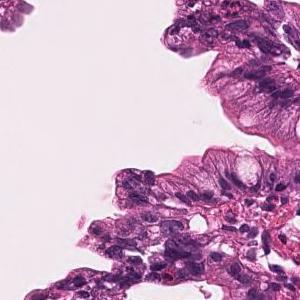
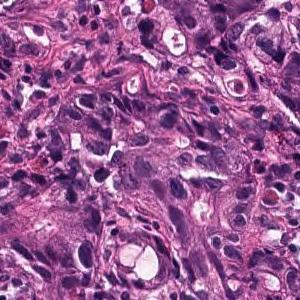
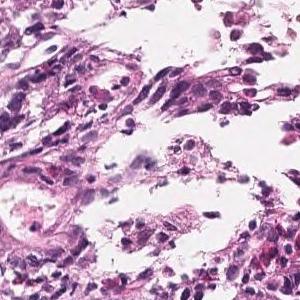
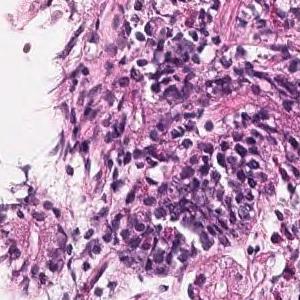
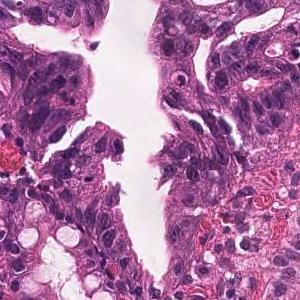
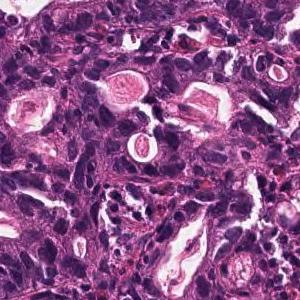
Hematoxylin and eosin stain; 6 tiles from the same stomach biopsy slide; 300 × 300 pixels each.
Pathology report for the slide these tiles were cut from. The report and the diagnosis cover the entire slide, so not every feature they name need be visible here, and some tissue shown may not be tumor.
On the superficial epithelium, tumor tissue consisting of large, irregular glandular ducts partially fused and infiltrated is observed. Well to moderately differentiated tubular adenocarcinoma (well differentiated tubular adenocarcinoma, moderately differentiated tubular adenocarcinoma)
Tumor subtype: well to moderately differentiated tubular adenocarcinoma.
